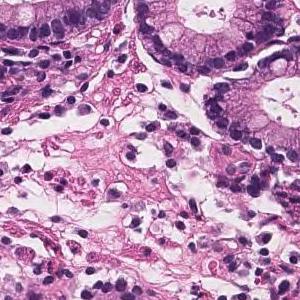
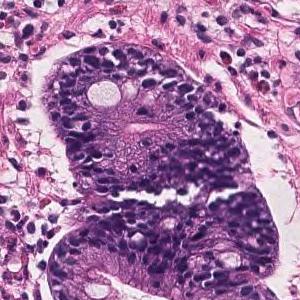
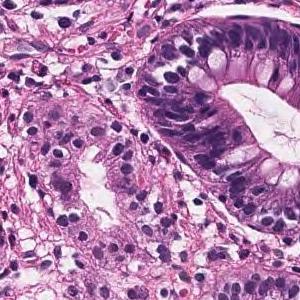
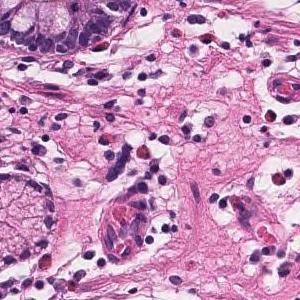
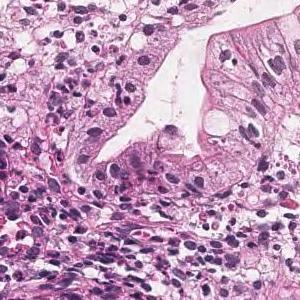
5 patches cut from one gastric biopsy slide · 300×300 px each · H&E · scanned at ×20.
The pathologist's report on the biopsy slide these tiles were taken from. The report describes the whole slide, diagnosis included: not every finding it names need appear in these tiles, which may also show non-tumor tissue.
On the superficial epithelium, tumor tissue consisting of large, irregular glandular ducts partially fused and infiltrated is observed. Well differentiated tubular adenocarcinoma
